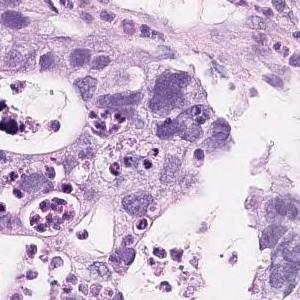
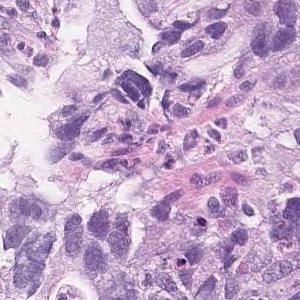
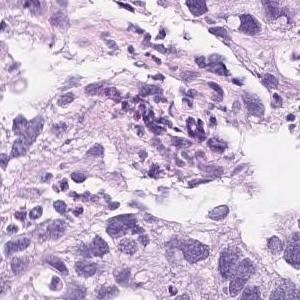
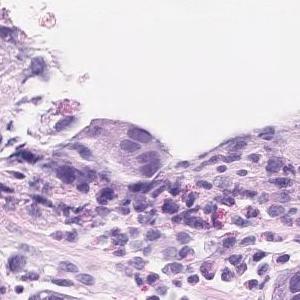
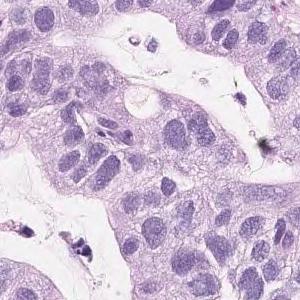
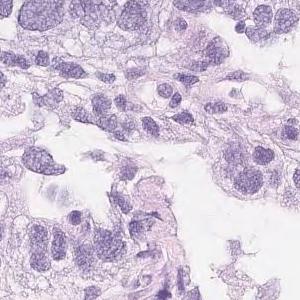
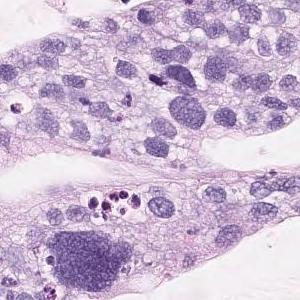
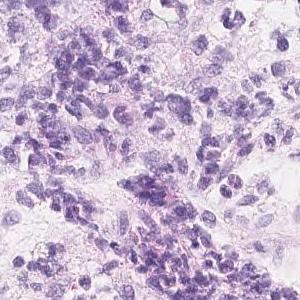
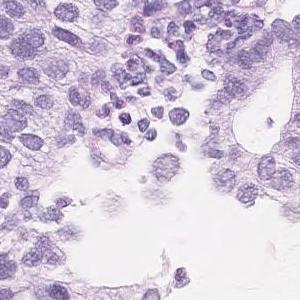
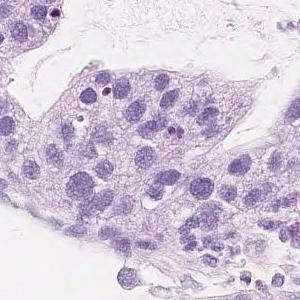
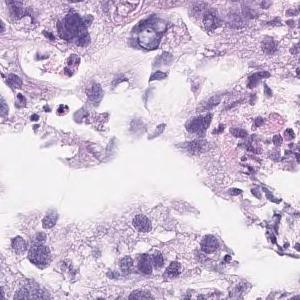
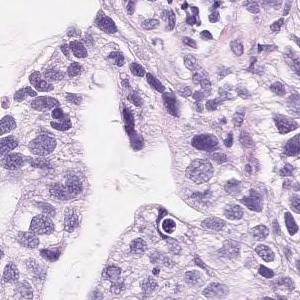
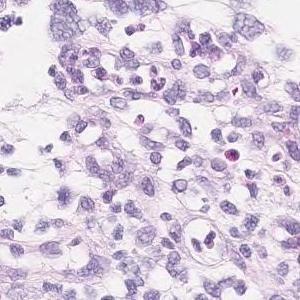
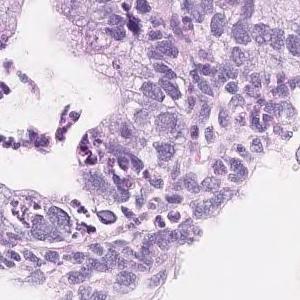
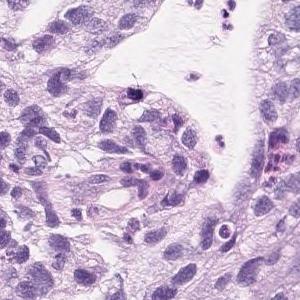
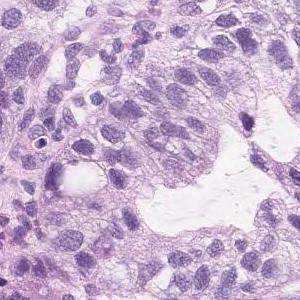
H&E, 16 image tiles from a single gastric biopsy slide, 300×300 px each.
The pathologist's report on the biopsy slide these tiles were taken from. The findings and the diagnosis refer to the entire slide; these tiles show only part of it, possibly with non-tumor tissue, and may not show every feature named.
On the superficial epithelium, tumor tissue consisting of large, irregular glandular ducts partially fused and infiltrated is observed. Well to moderately differentiated tubular adenocarcinoma (well differentiated tubular adenocarcinoma, moderately differentiated tubular adenocarcinoma)
Tumor subtype: well to moderately differentiated tubular adenocarcinoma.
